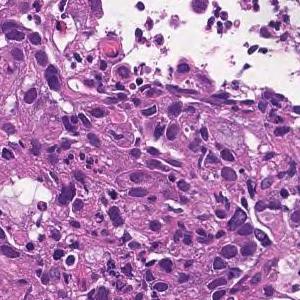
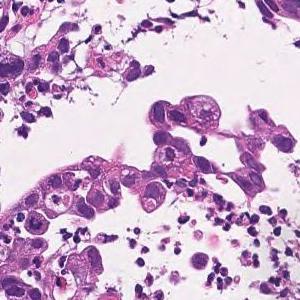
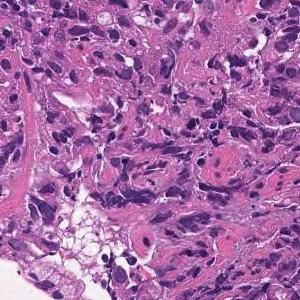
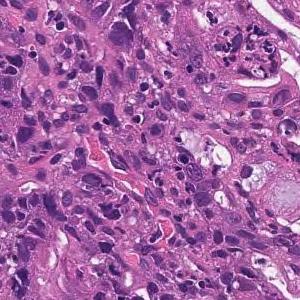
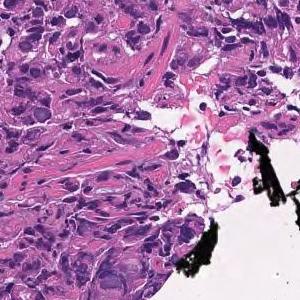
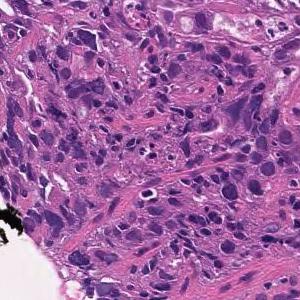
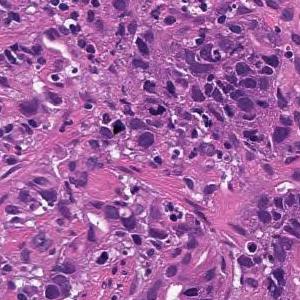
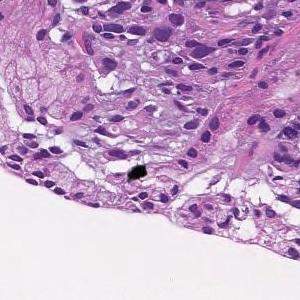
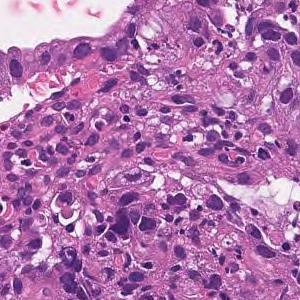
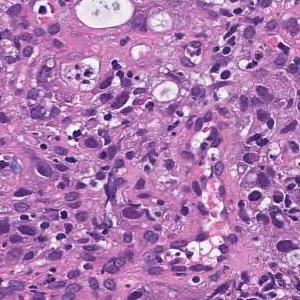
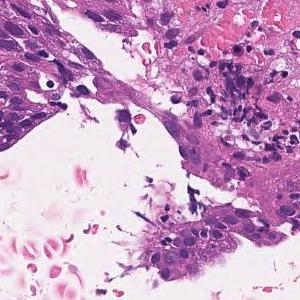
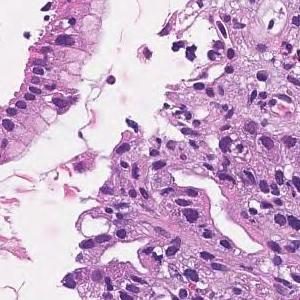
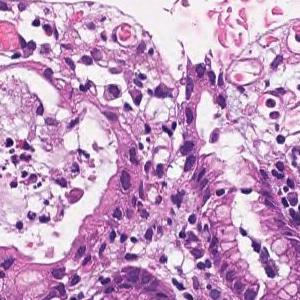
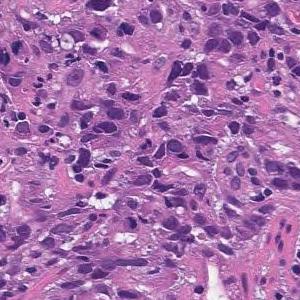
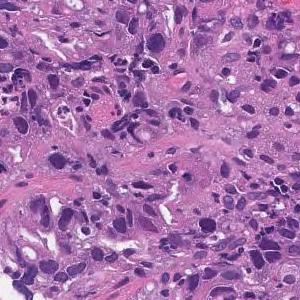
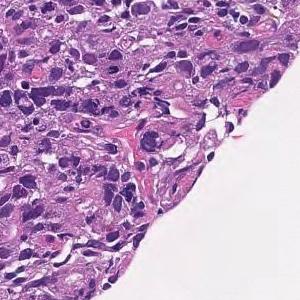
16 tiles from the same stomach biopsy slide · 20× magnification · H&E.
The pathologist's report on the biopsy slide these tiles were taken from. The report describes the whole slide, diagnosis included: not every finding it names need appear in these tiles, which may also show non-tumor tissue.
In the superficial epithelium, tumor tissue that invades by forming medium-sized to small, irregular ducts is observed. moderately differentiated tubular adenocarcinoma.
